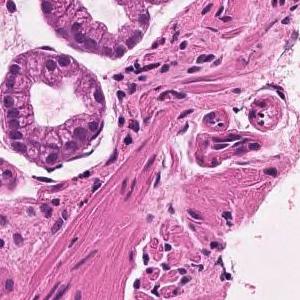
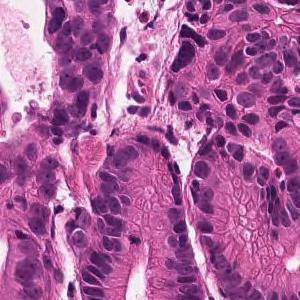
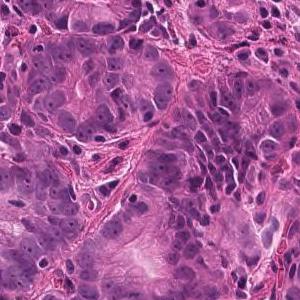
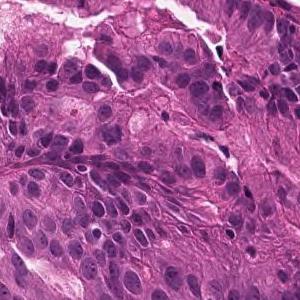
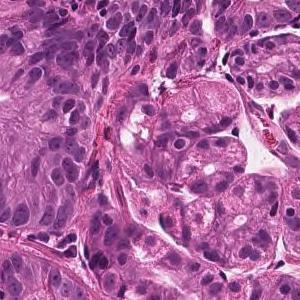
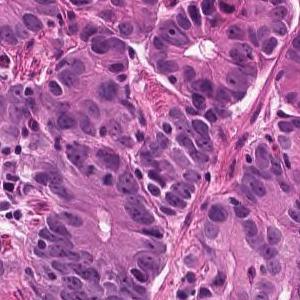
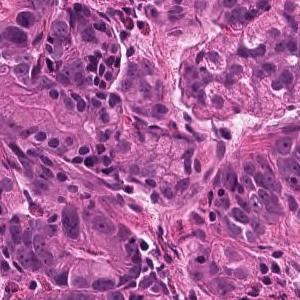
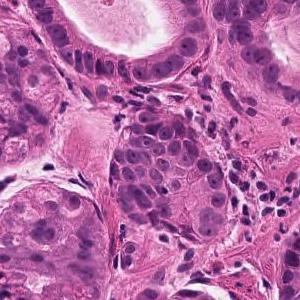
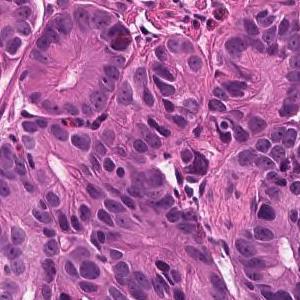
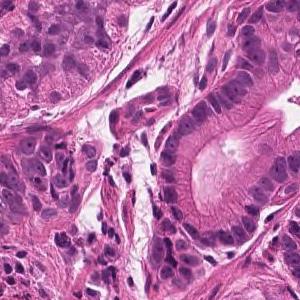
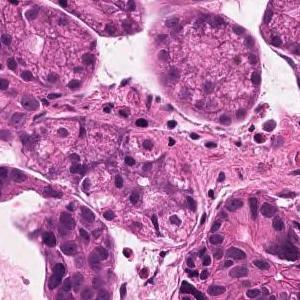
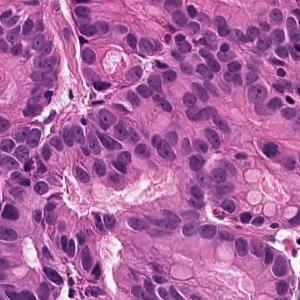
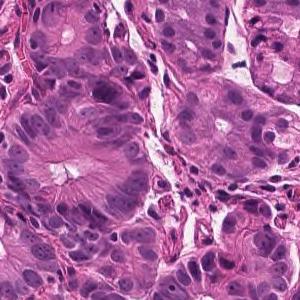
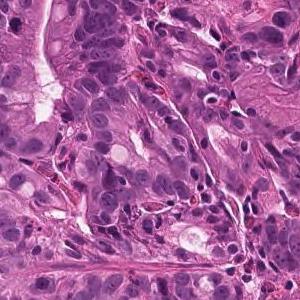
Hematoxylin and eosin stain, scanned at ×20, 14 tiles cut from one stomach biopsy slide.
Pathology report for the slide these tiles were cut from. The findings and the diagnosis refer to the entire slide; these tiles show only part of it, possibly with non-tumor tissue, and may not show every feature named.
In the superficial epithelium, tumor tissue that invades by forming medium-sized to small, irregular ducts is observed. Well differentiated tubular adenocarcinoma.
